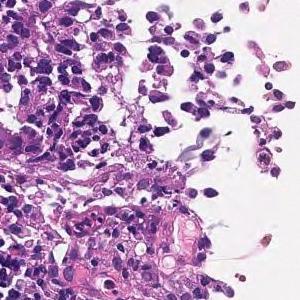
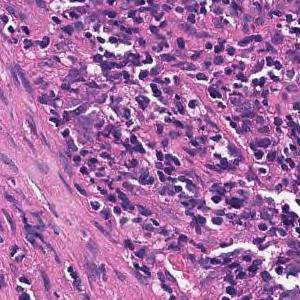
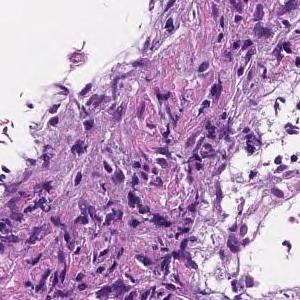
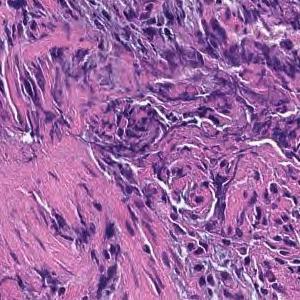
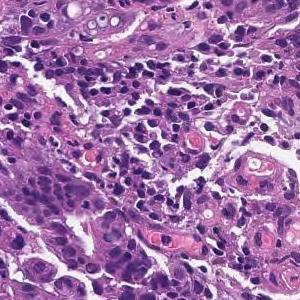
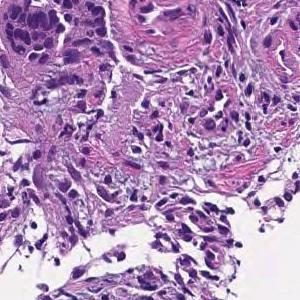
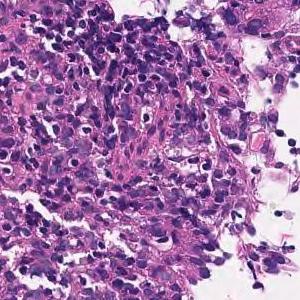
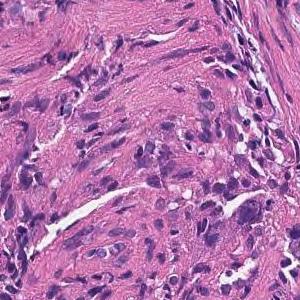
8 tiles cut from one stomach biopsy slide; hematoxylin and eosin stain.
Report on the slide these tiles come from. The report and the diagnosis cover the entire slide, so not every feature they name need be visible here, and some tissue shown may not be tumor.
On the superficial epithelium, tumor tissue consisting of large, irregular glandular ducts partially fused and infiltrated is observed. Well to moderately differentiated tubular adenocarcinoma (well differentiated tubular adenocarcinoma, moderately differentiated tubular adenocarcinoma)
Histologic type: Well to moderately differentiated tubular adenocarcinoma.
